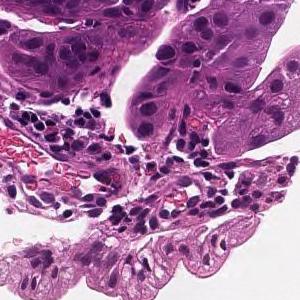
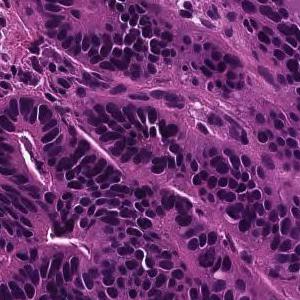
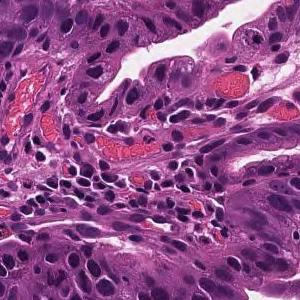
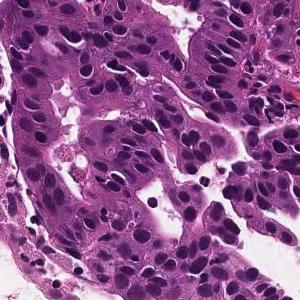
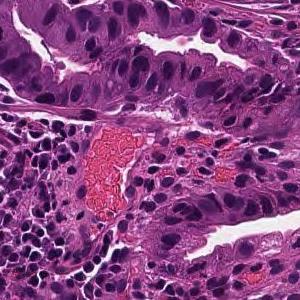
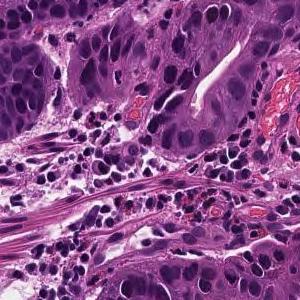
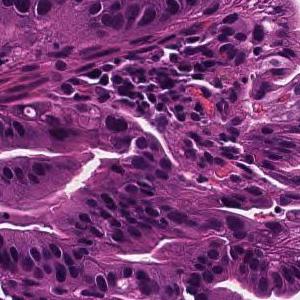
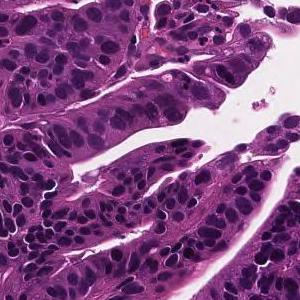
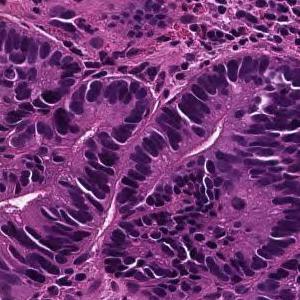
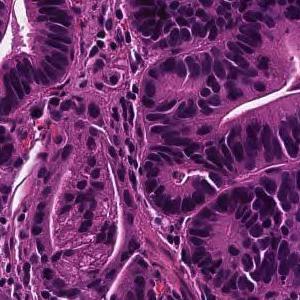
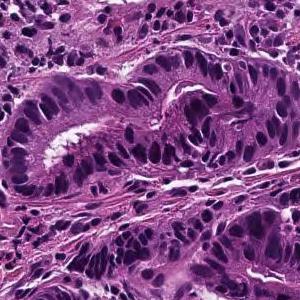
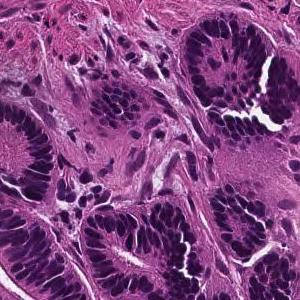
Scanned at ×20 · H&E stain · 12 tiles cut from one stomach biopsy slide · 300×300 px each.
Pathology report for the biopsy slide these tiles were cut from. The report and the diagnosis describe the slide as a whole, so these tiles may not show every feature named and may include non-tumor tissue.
From the superficial epithelium to the muscularis mucosae, tumor tissue consisting of medium-sized and irregular glandular ducts infiltrating is observed. Well differentiated tubular adenocarcinoma
